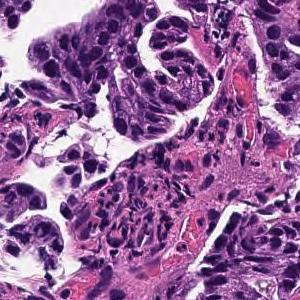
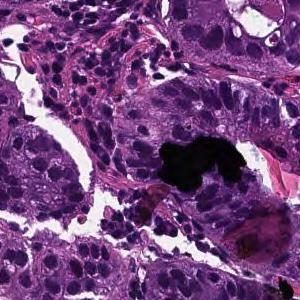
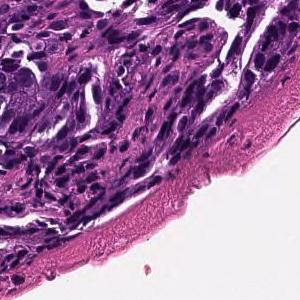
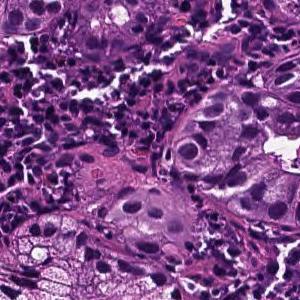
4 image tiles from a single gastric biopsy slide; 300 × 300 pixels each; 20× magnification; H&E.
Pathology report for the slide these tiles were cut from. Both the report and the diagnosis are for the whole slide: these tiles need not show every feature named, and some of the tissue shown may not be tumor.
In the superficial epithelium, tumor tissue that invades by forming medium-sized to small, irregular ducts is observed. moderately differentiated tubular adenocarcinoma.
